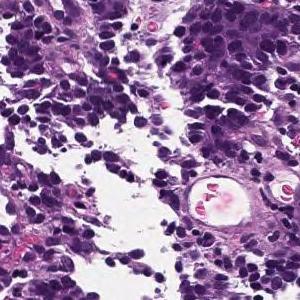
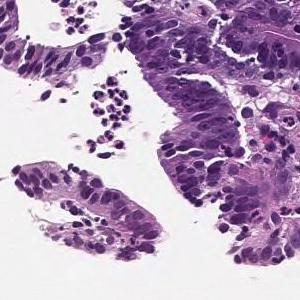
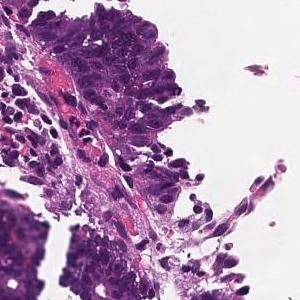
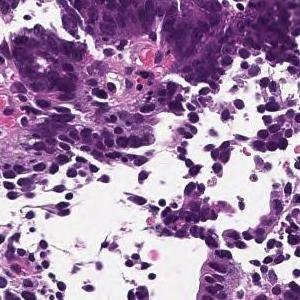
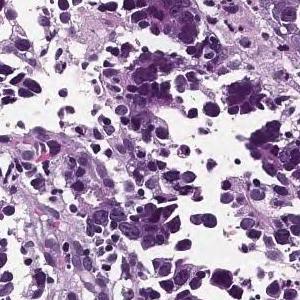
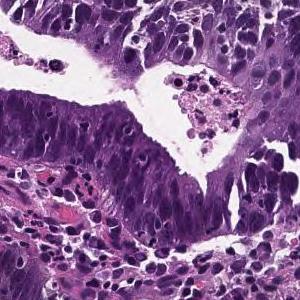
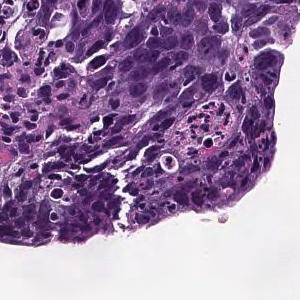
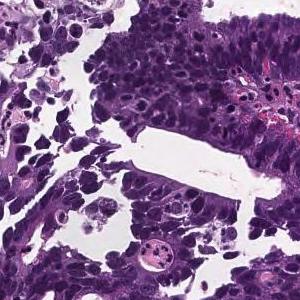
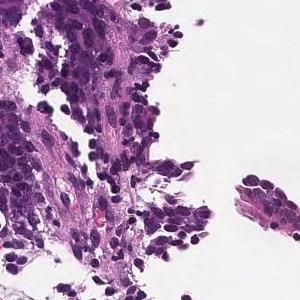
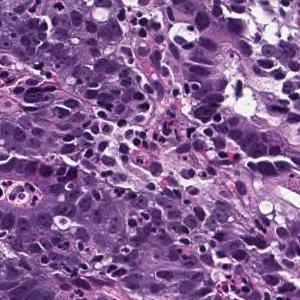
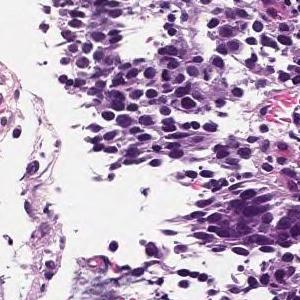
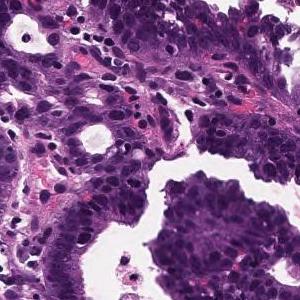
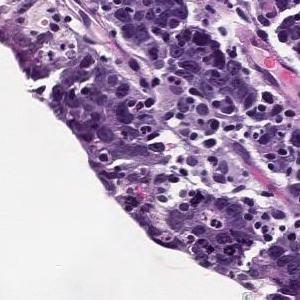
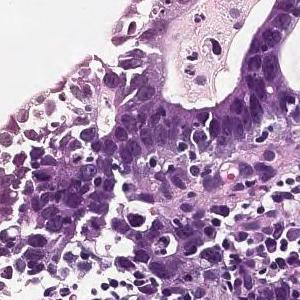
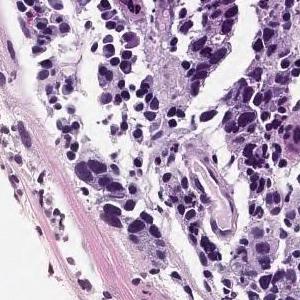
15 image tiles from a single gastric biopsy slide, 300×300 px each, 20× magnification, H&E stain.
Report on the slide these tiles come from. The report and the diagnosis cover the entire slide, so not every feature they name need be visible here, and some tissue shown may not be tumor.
On the superficial epithelium, tumor tissue is found in which medium-sized irregular gland ducts fuse with each other and infiltrate. moderately differentiated tubular adenocarcinoma
